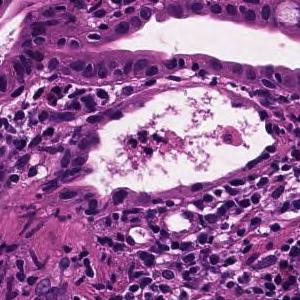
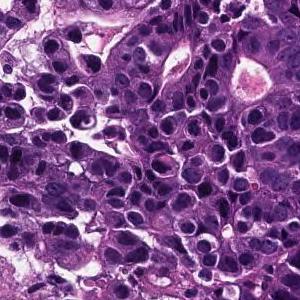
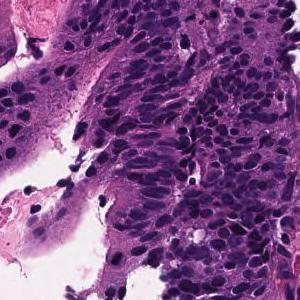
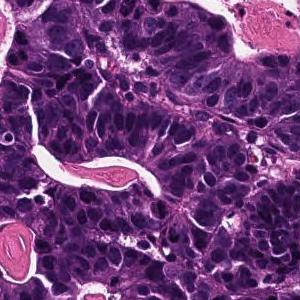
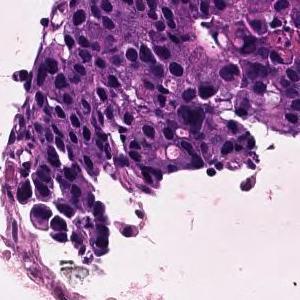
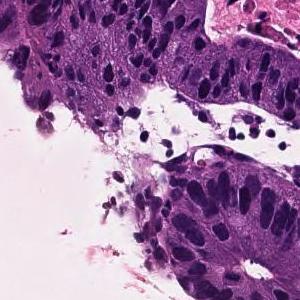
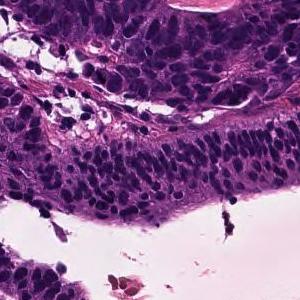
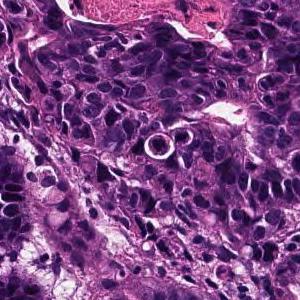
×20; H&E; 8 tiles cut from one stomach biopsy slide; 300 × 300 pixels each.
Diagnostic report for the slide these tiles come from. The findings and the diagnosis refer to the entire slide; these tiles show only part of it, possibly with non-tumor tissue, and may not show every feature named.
In the superficial epithelium, tumor tissue that invades by forming medium-sized to small, irregular ducts is observed. moderately differentiated tubular adenocarcinoma.
